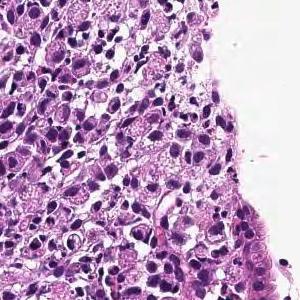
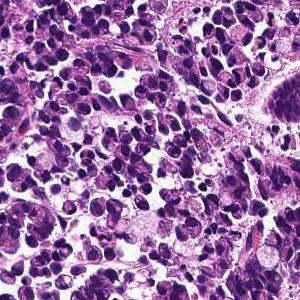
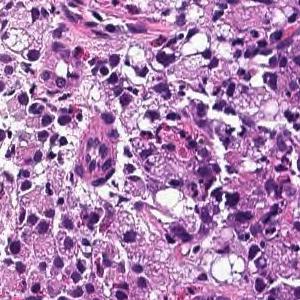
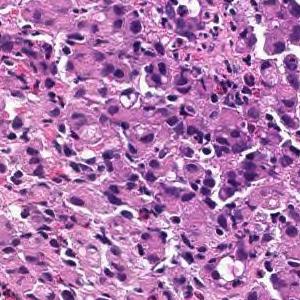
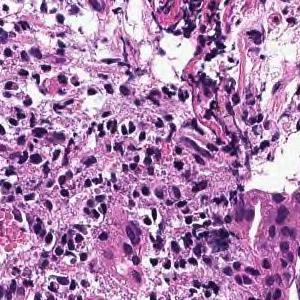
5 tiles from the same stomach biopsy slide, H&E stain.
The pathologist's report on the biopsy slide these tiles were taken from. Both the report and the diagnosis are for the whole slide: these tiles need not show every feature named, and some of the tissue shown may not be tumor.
Tumor tissue consisting of diffusely infiltrated large atypical epithelial cells or signet ring atypical cells is observed in the superficial epithelium. Poorly differentiated adenocarcinoma, solid-type
Tumor subtype: poorly differentiated adenocarcinoma, solid type, a category of the Japanese Classification of Gastric Carcinoma; in the WHO 2019 classification it is tubular adenocarcinoma, poorly differentiated.
